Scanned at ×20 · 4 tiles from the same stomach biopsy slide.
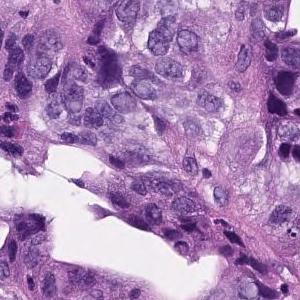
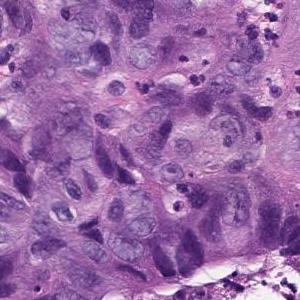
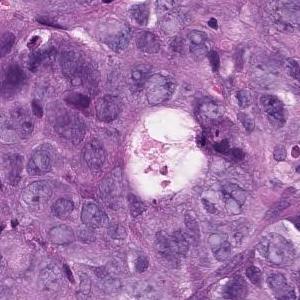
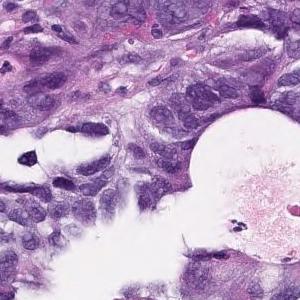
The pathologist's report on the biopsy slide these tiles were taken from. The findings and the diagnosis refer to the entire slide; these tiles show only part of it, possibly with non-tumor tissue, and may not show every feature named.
In the superficial epithelium, tumor tissue that invades by forming medium-sized to small, irregular ducts is observed. Moderately differentiated adenocarcinoma.
Histologic type: Moderately differentiated tubular adenocarcinoma.
